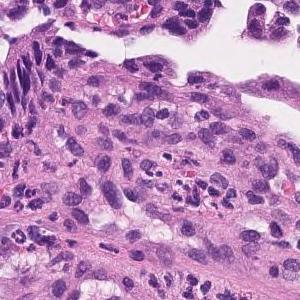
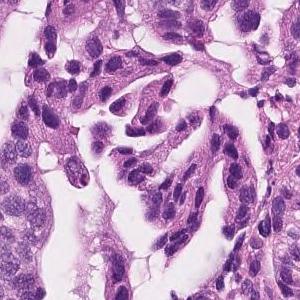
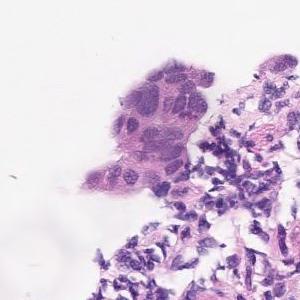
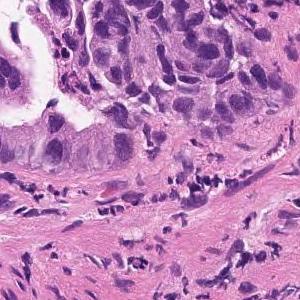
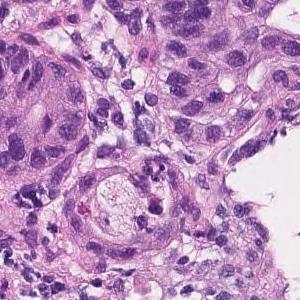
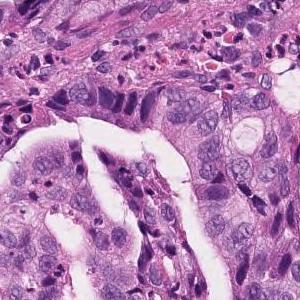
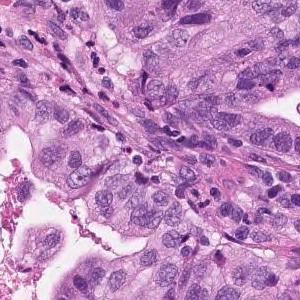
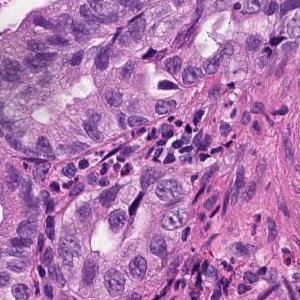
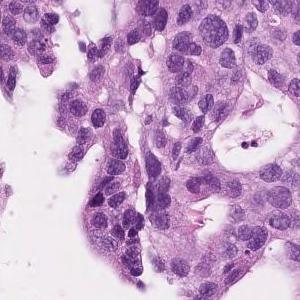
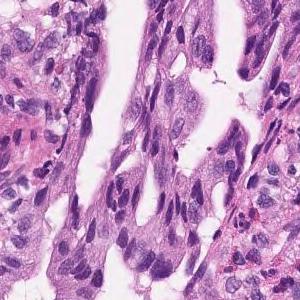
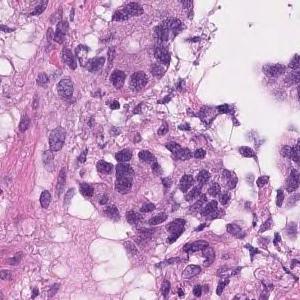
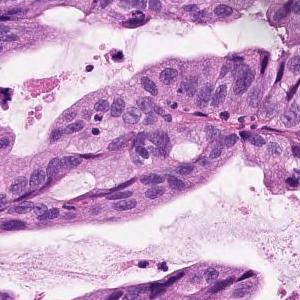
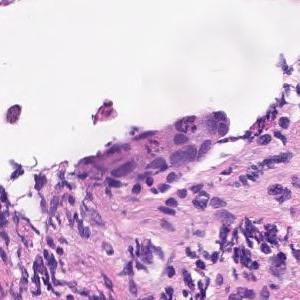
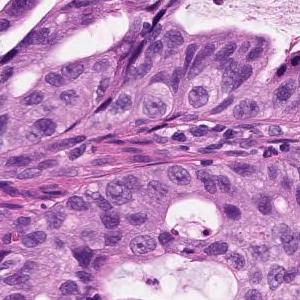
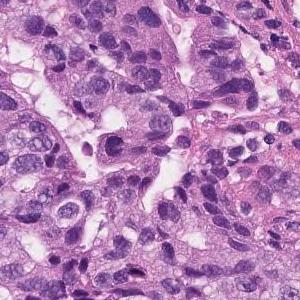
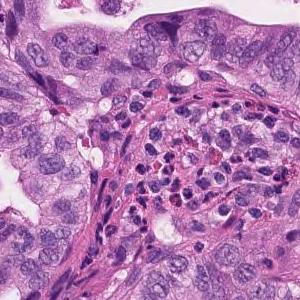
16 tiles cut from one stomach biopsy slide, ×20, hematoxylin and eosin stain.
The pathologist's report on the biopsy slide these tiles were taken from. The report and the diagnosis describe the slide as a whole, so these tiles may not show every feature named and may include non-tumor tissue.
Atypical epithelium forming papillary or sieving ducts and infiltrating growth is observed. Papillary adenocarcinoma.
